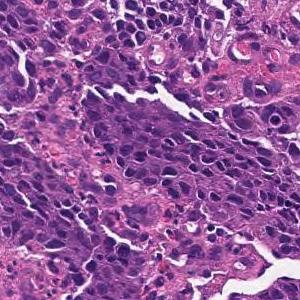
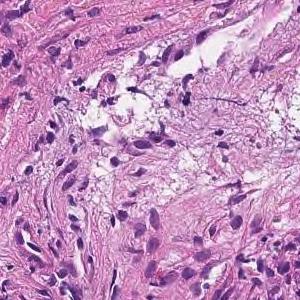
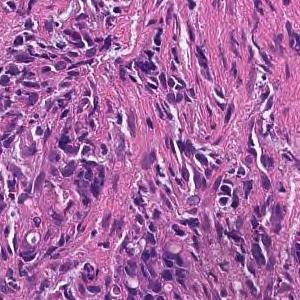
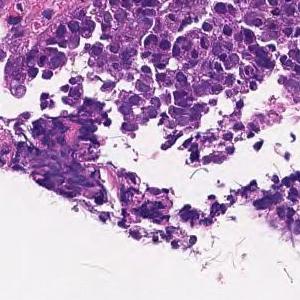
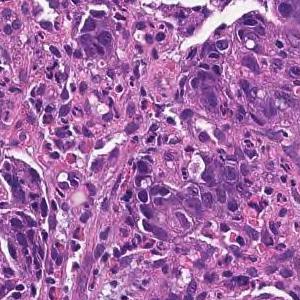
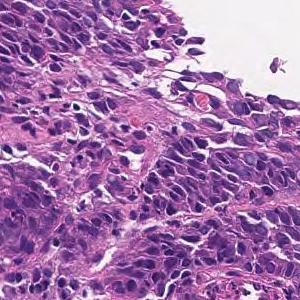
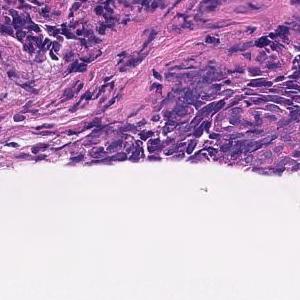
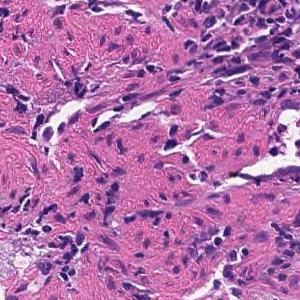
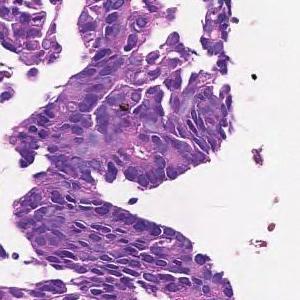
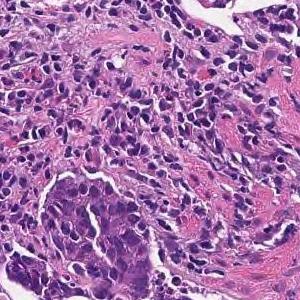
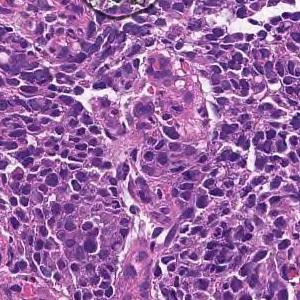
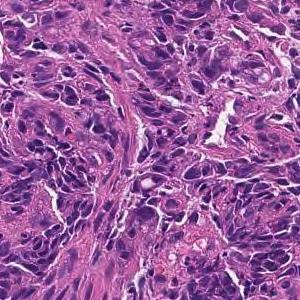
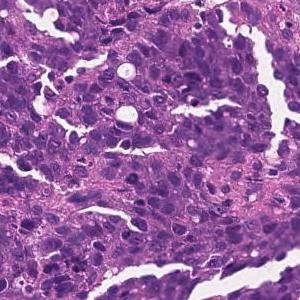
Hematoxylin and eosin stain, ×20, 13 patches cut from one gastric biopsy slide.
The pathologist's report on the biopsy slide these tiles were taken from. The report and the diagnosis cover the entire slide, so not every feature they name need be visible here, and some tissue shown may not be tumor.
Tumor tissue consisting of cord-like or small, irregular glandular ducts fused and infiltrated is observed in the superficial epithelium. Poorly differentiated adenocarcinoma, non-solid type
"Non-solid type" is a category of the Japanese Classification of Gastric Carcinoma.
